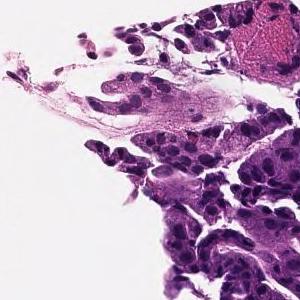
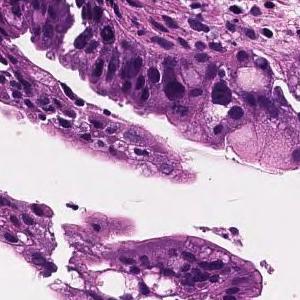
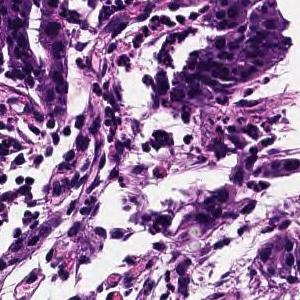
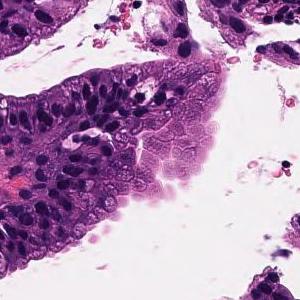
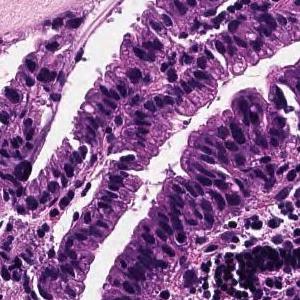
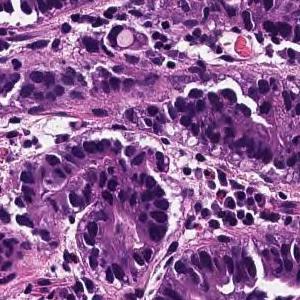
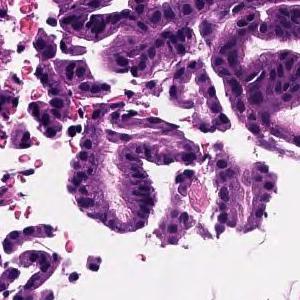
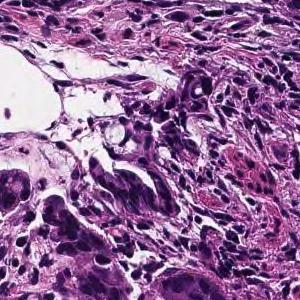
8 tiles cut from one stomach biopsy slide, scanned at ×20.
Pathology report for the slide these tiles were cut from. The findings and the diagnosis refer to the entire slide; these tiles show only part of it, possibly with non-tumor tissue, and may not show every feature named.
On the superficial epithelium, tumor tissue that infiltrates by forming medium-sized papillary or small irregular ducts is observed. Papillary adenocarcinoma
